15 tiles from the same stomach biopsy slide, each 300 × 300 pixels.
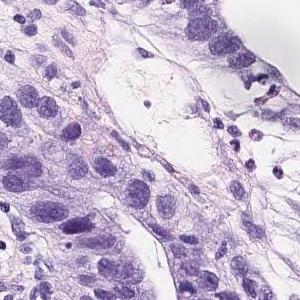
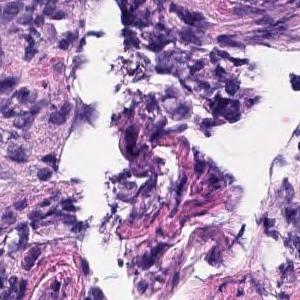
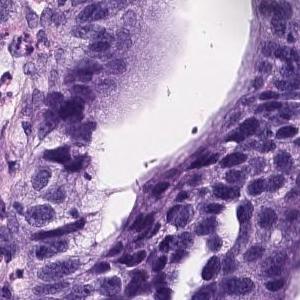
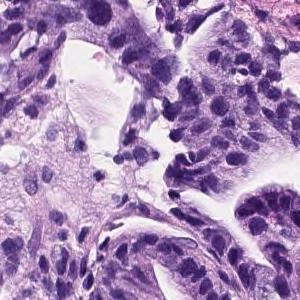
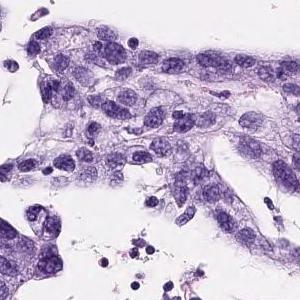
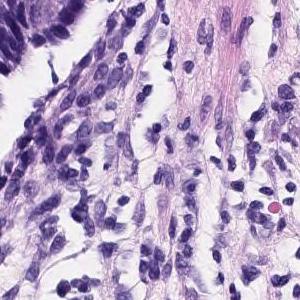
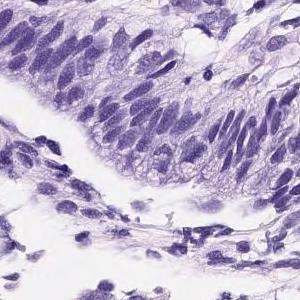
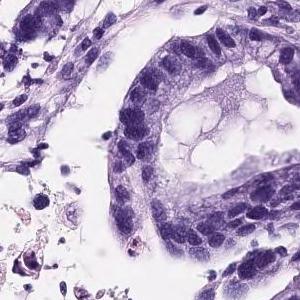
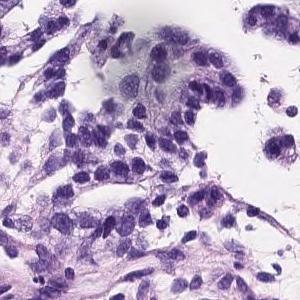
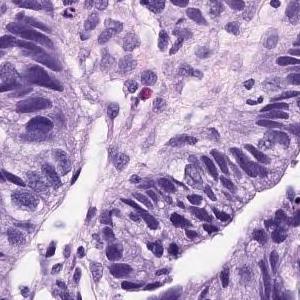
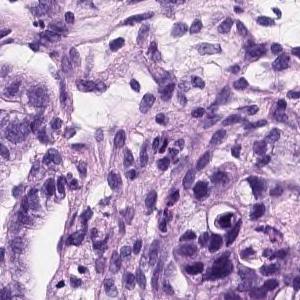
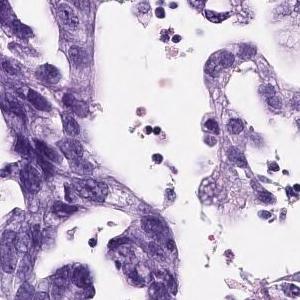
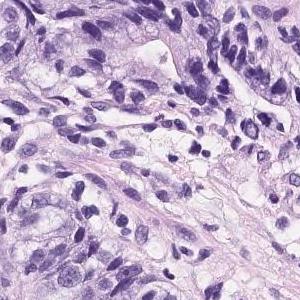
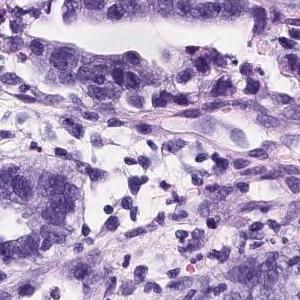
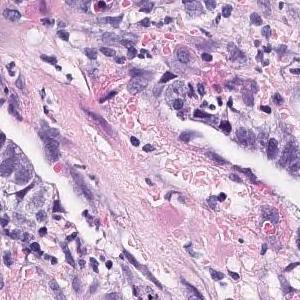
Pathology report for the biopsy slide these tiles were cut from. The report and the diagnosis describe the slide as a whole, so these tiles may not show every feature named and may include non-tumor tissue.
On the superficial epithelium, tumor tissue consisting of medium to small irregular tubules partially fused and proliferated is observed. moderately differentiated tubular adenocarcinoma
